14 tiles from the same stomach biopsy slide · 300×300 px each · H&E stain.
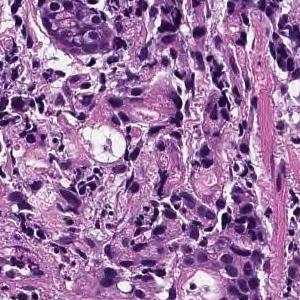
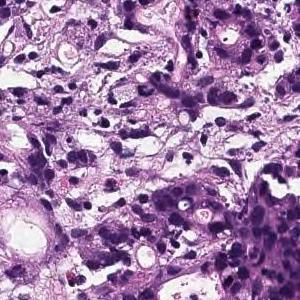
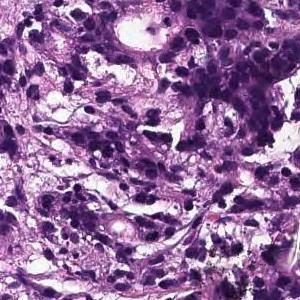
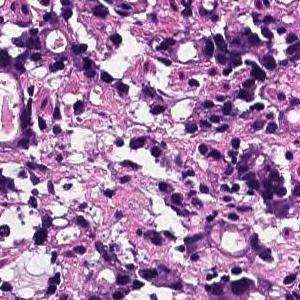
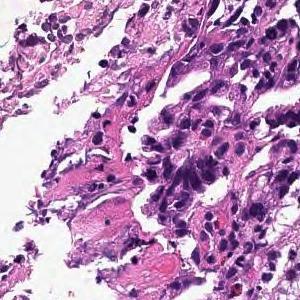
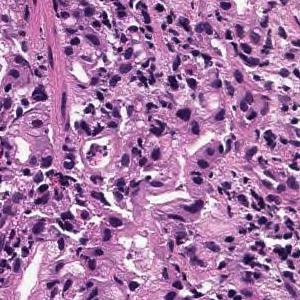
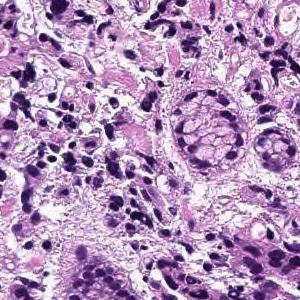
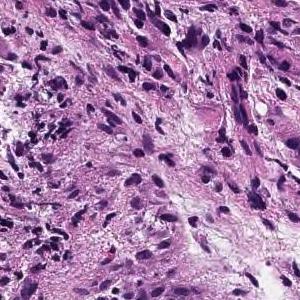
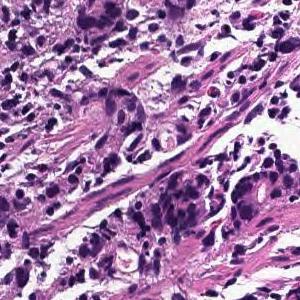
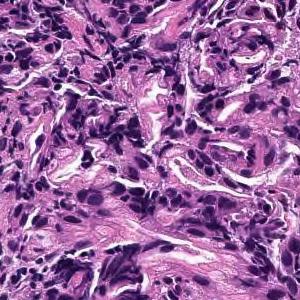
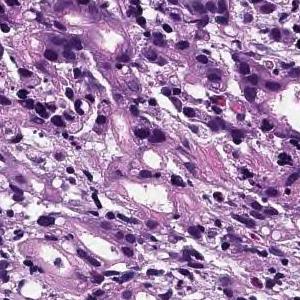
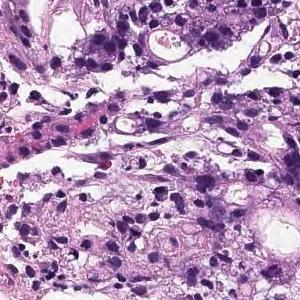
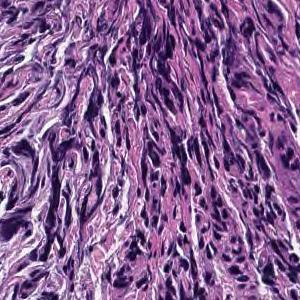
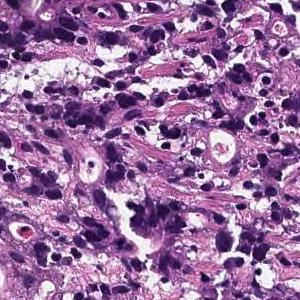
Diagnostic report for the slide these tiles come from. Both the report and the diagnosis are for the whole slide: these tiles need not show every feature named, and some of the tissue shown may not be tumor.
Tumor tissue consisting of cord-like or small, irregular glandular ducts fused and infiltrated is observed in the superficial epithelium. Poorly differentiated adenocarcinoma, non-solid type
The term "non-solid type" comes from the Japanese Classification of Gastric Carcinoma.
